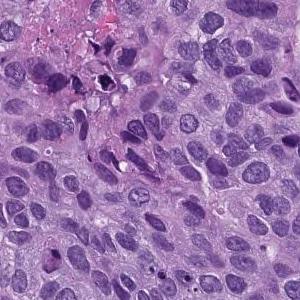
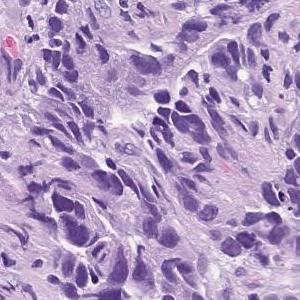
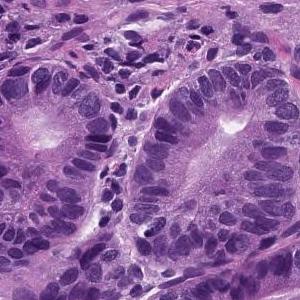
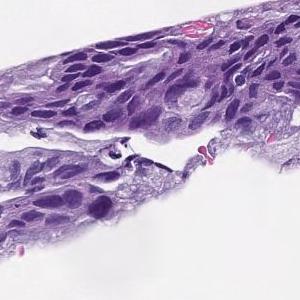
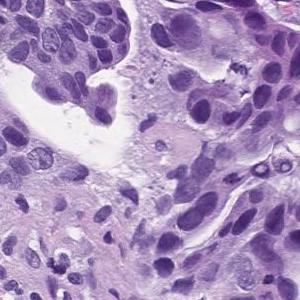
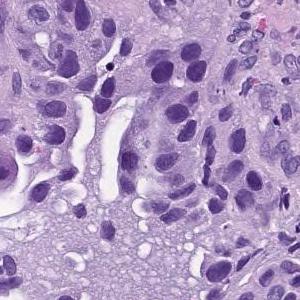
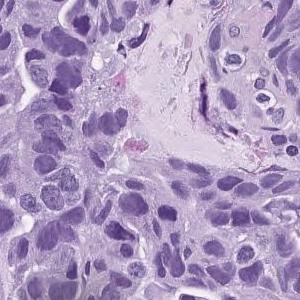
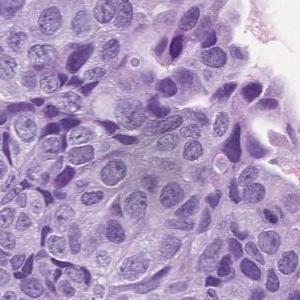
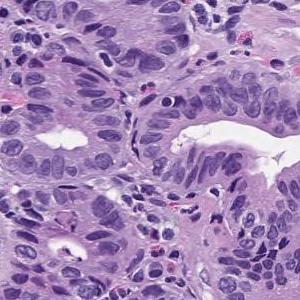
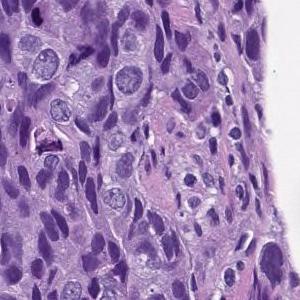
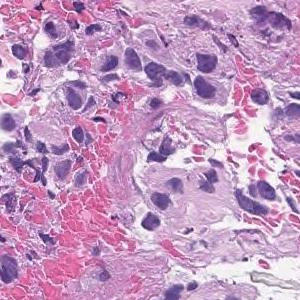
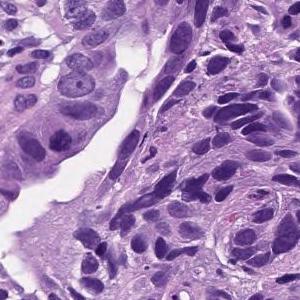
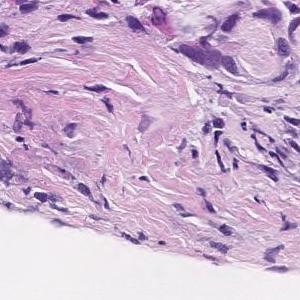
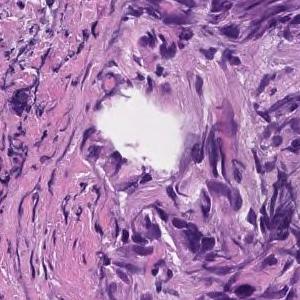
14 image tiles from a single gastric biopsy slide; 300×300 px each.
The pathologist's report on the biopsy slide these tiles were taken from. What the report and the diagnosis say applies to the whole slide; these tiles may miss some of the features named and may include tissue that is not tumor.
In the superficial epithelium, tumor tissue that invades by forming medium-sized to small, irregular ducts is observed. moderately differentiated tubular adenocarcinoma.
